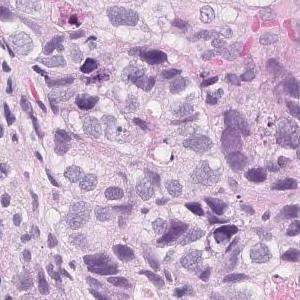
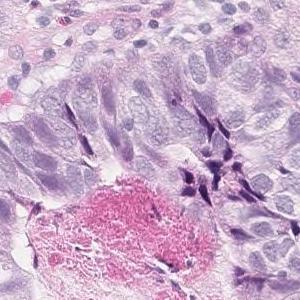
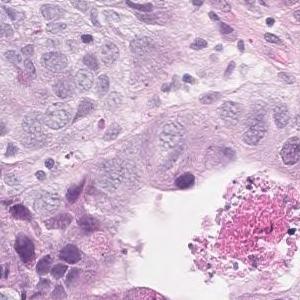
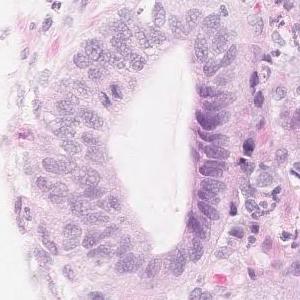
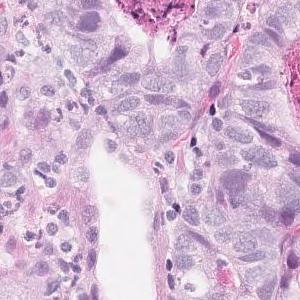
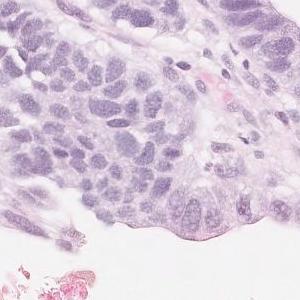
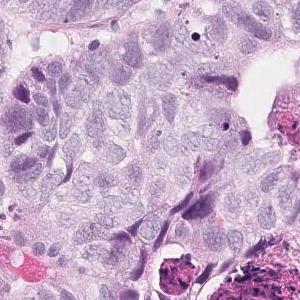
7 tiles cut from one stomach biopsy slide; each 300 × 300 pixels.
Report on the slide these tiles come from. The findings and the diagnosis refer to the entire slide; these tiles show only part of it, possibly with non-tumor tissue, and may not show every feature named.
In the superficial epithelium, tumor tissue that invades by forming medium-sized to small, irregular ducts is observed. Moderately differentiated adenocarcinoma.
Histological subtype: Moderately differentiated tubular adenocarcinoma.
